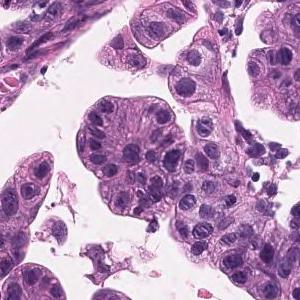
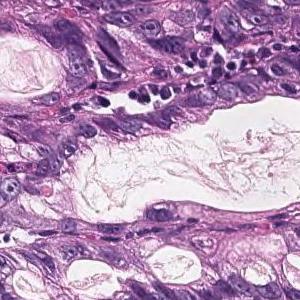
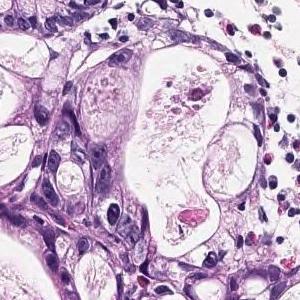
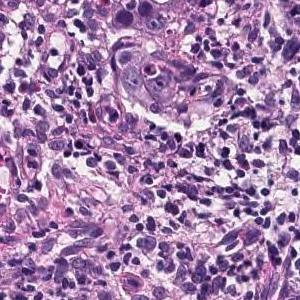
20× magnification, hematoxylin and eosin stain, 4 tiles cut from one stomach biopsy slide.
Pathology report for the slide these tiles were cut from. Both the report and the diagnosis are for the whole slide: these tiles need not show every feature named, and some of the tissue shown may not be tumor.
Tumor cells are large, highly columnar, large club-shaped nuclei, and are associated with chromatin aggregation. Papillary adenocarcinoma.
